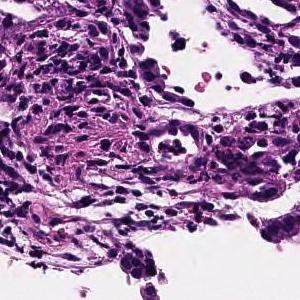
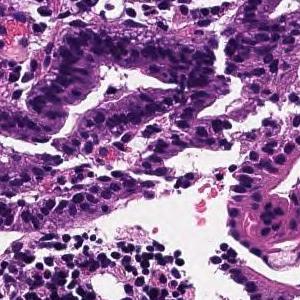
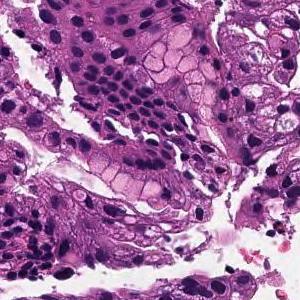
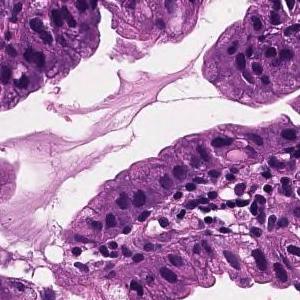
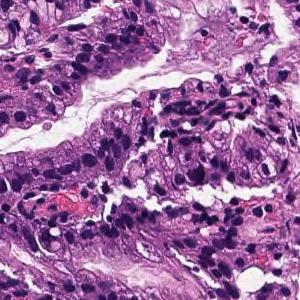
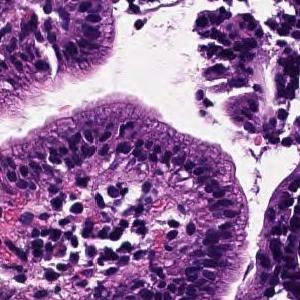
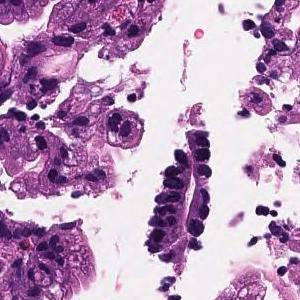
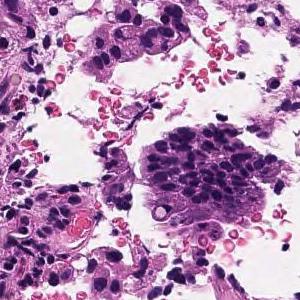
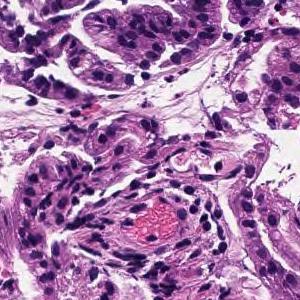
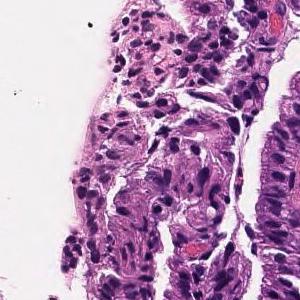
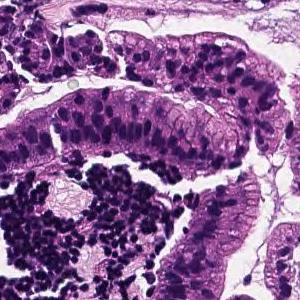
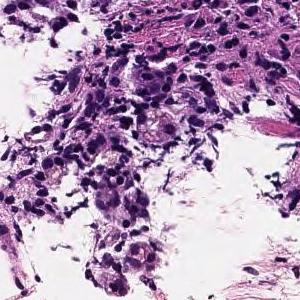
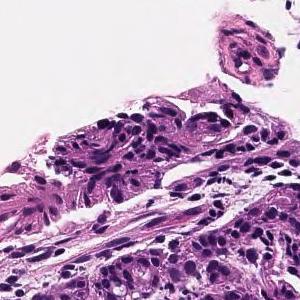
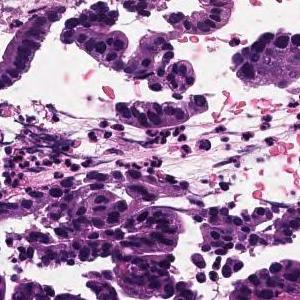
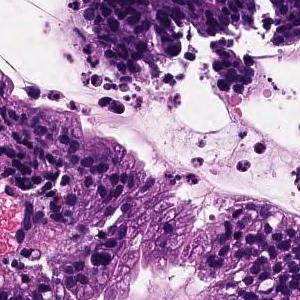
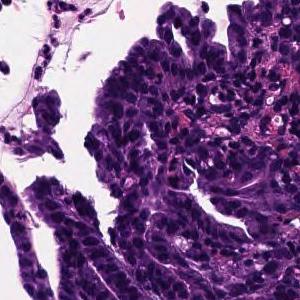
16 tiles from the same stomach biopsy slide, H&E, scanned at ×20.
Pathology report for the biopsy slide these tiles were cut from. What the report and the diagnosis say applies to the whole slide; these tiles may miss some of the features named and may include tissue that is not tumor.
On the superficial epithelium, tumor tissue that infiltrates by forming medium-sized papillary or small irregular ducts is observed. Papillary adenocarcinoma
